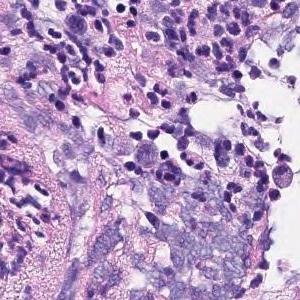
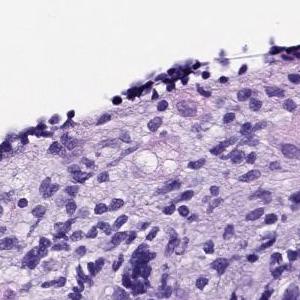
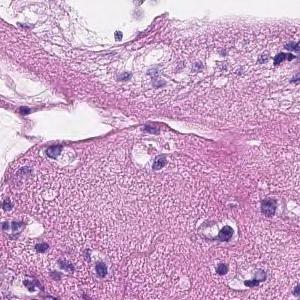
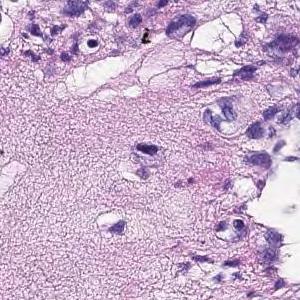
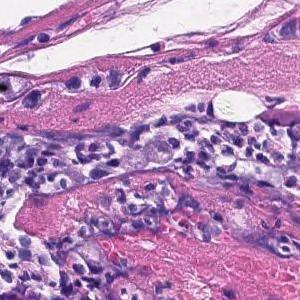
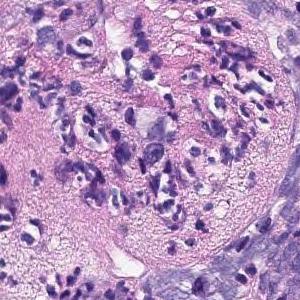
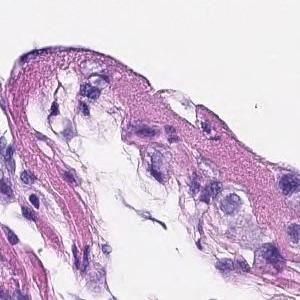
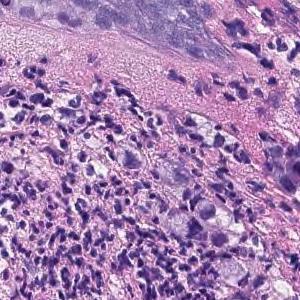
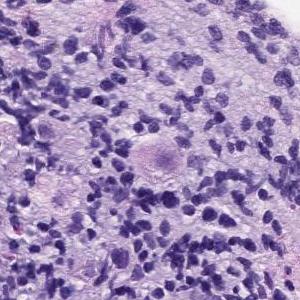
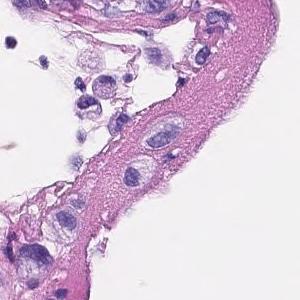
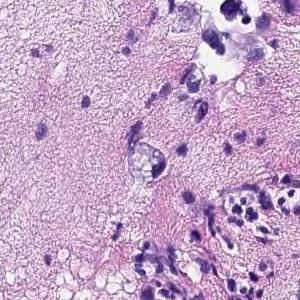
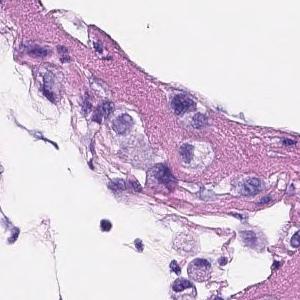
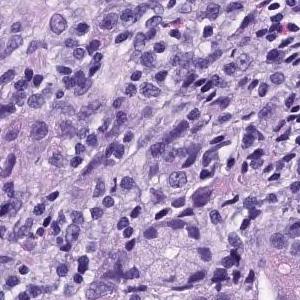
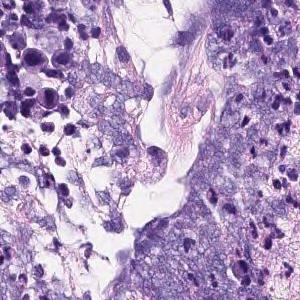
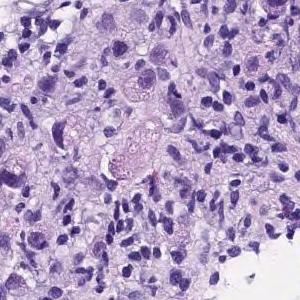
H&E stain, 20× magnification, 15 image tiles from a single gastric biopsy slide.
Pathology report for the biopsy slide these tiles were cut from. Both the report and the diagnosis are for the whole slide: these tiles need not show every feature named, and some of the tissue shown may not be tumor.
A large atypical epithelium lacking ductal construction with swelling of the nucleus is seen to proliferate solidly. Poorly differentiated adenocarcinoma.
Subtype: Poorly differentiated adenocarcinoma, non-solid type.
The non-solid type named here is a Japanese Classification of Gastric Carcinoma category.
